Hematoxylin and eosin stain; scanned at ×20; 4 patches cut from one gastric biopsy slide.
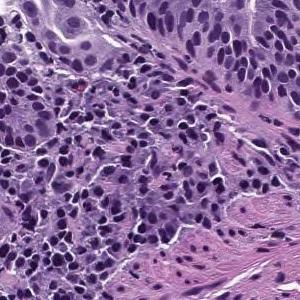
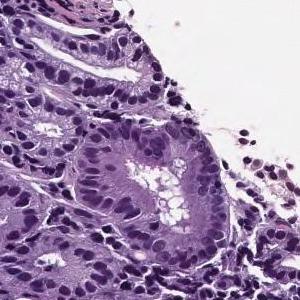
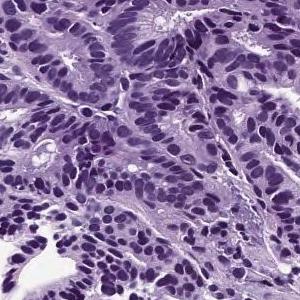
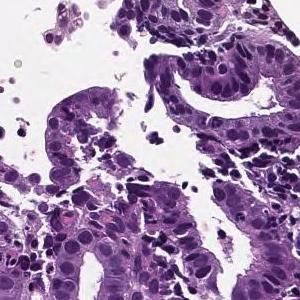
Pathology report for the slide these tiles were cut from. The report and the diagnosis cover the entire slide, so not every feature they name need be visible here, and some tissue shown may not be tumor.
From the superficial epithelium to the muscularis mucosae, tumor tissue consisting of medium-sized and irregular glandular ducts infiltrating is observed. Well differentiated tubular adenocarcinoma
